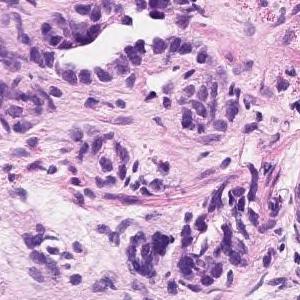
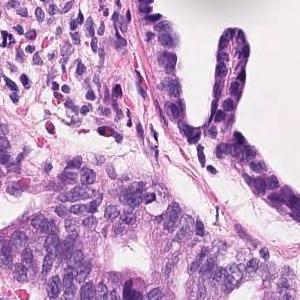
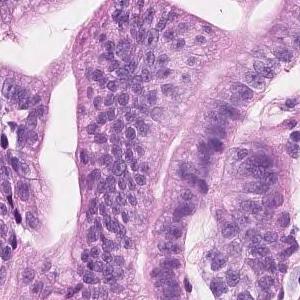
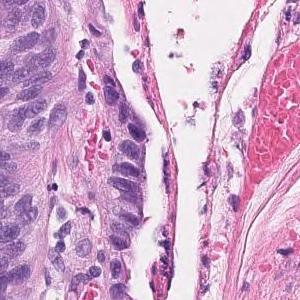
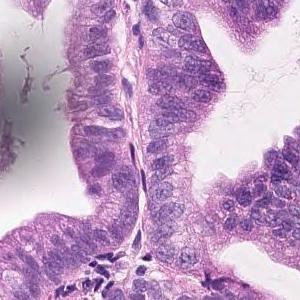
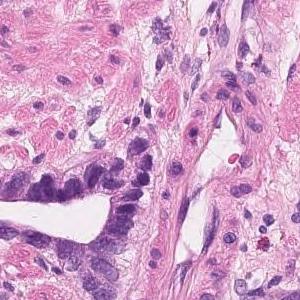
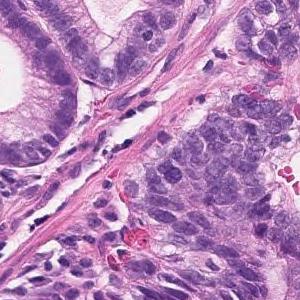
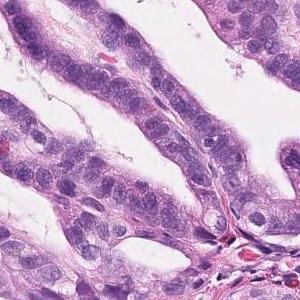
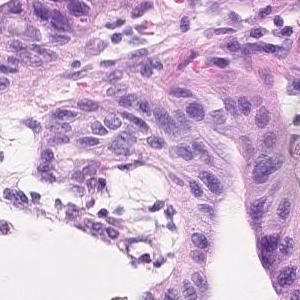
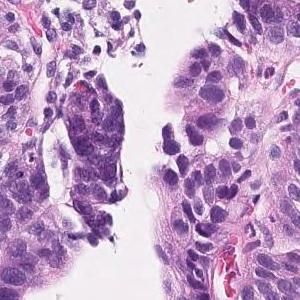
10 tiles cut from one stomach biopsy slide, H&E, scanned at ×20.
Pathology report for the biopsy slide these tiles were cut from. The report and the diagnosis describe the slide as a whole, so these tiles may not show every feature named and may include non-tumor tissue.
Tumor cells are large, highly columnar, large club-shaped nuclei, and are associated with chromatin aggregation. Papillary adenocarcinoma.
